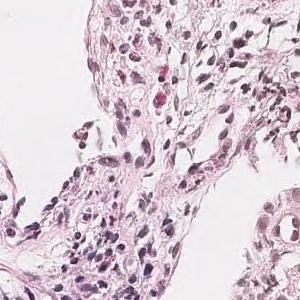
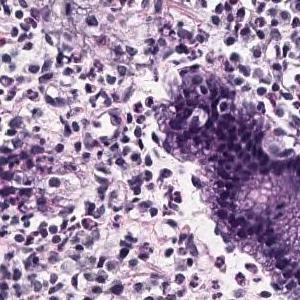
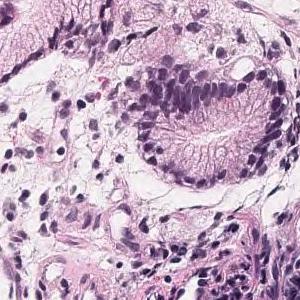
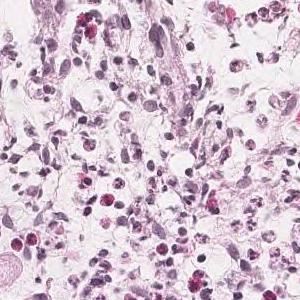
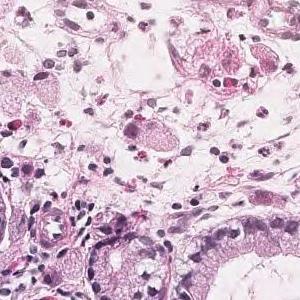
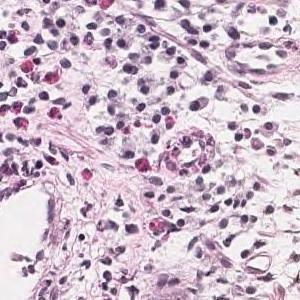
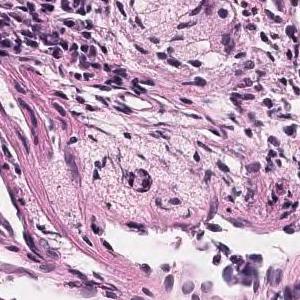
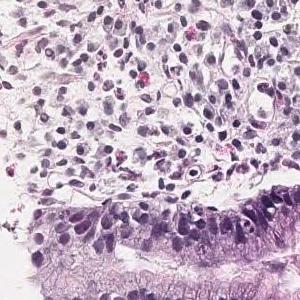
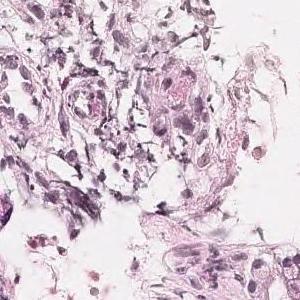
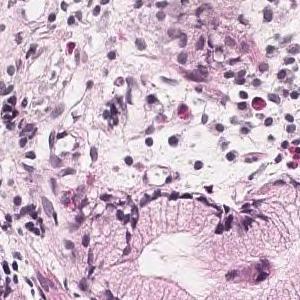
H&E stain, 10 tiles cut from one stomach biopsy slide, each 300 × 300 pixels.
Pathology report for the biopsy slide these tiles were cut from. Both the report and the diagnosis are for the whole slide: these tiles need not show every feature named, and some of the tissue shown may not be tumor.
Tumor tissue is observed in which atypical epithelial cells with mucus in the vesicles proliferate while being isolated. Signet ring cell carcinoma
